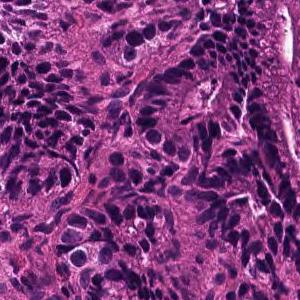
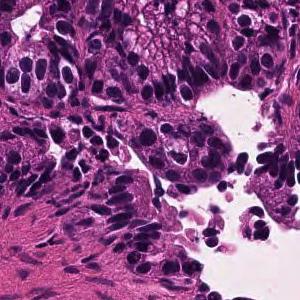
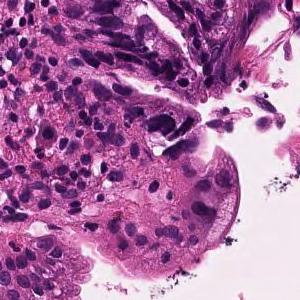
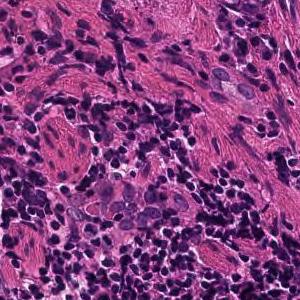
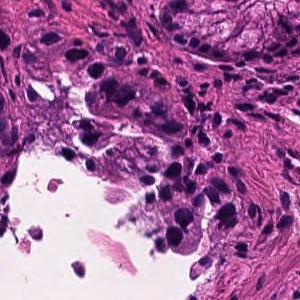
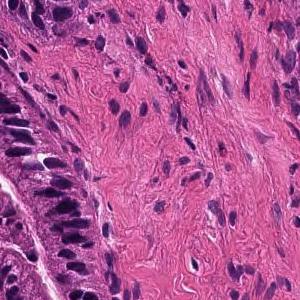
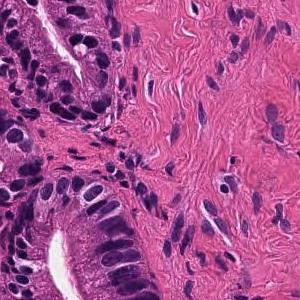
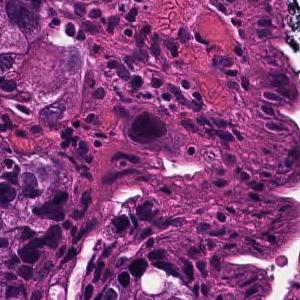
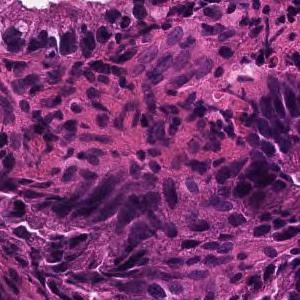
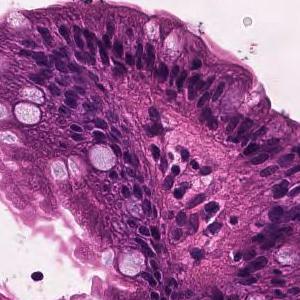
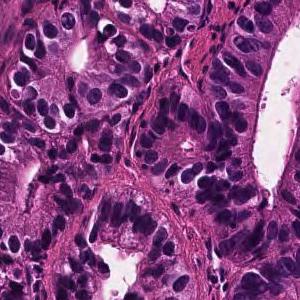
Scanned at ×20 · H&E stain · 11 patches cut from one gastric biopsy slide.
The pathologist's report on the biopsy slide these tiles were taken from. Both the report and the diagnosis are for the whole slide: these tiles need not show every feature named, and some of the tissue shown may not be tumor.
In the superficial epithelium, tumor tissue that invades by forming medium-sized to small, irregular ducts is observed. Well differentiated tubular adenocarcinoma.
